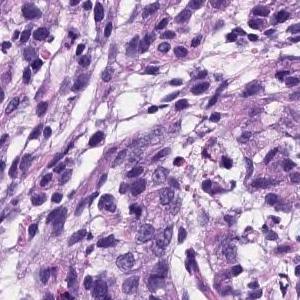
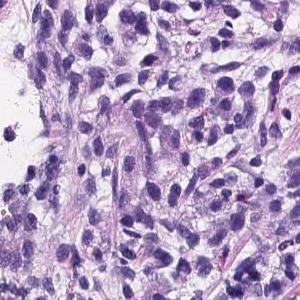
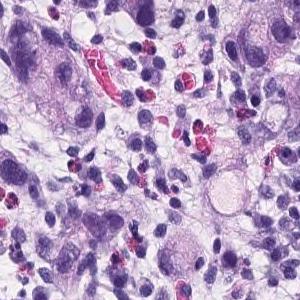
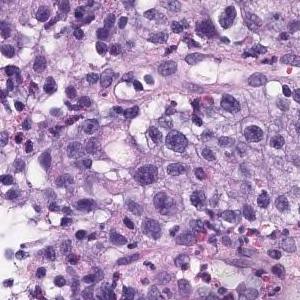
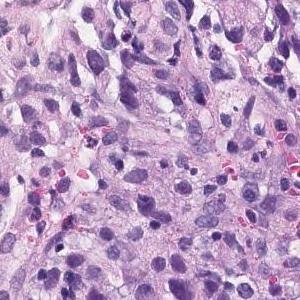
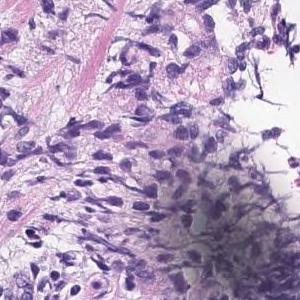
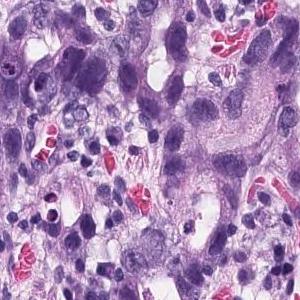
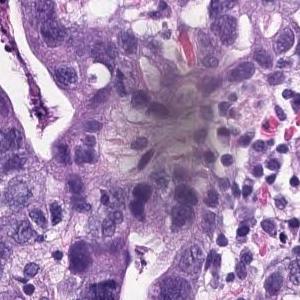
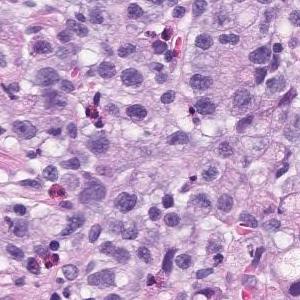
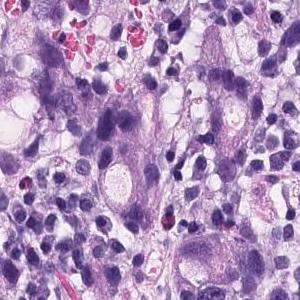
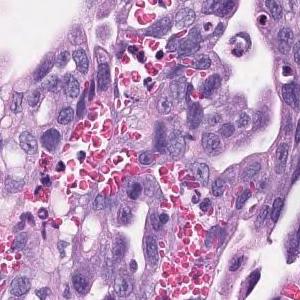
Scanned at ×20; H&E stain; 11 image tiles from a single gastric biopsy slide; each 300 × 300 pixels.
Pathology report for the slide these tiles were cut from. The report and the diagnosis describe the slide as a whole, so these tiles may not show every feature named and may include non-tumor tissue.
There are atypical l cells with atypical nuclei forming cord-like or irregular atypical ducts from solidity and proliferating in a comprehensive manner. Poorly differentiated adenocarcinoma, Moderately differentiated adenocarcinoma (poorly differentiated adenocarcinoma, solid type moderately differentiated tubular adenocarcinoma)
Tumor subtype: moderately to poorly differentiated adenocarcinoma.
The term "solid type" comes from the Japanese Classification of Gastric Carcinoma; the WHO 2019 equivalent is tubular adenocarcinoma, poorly differentiated.
